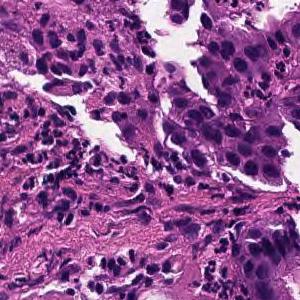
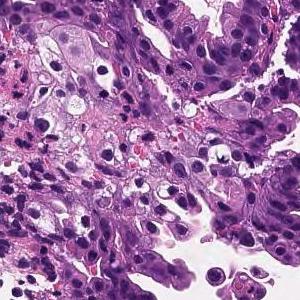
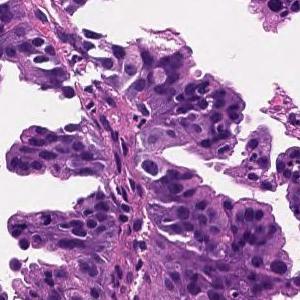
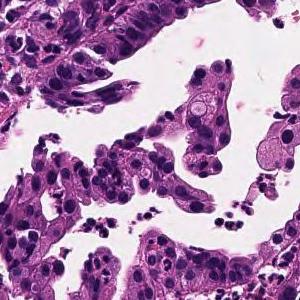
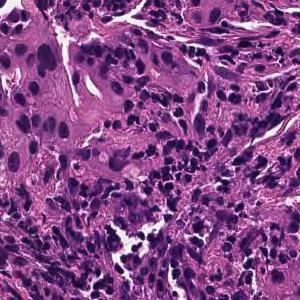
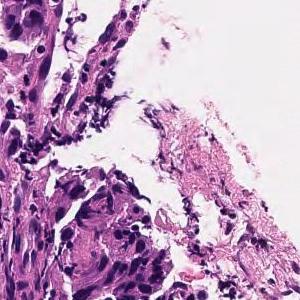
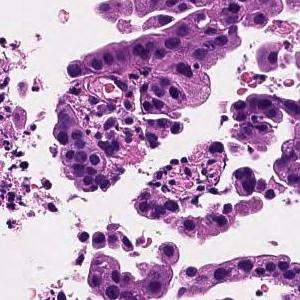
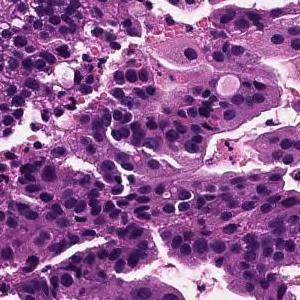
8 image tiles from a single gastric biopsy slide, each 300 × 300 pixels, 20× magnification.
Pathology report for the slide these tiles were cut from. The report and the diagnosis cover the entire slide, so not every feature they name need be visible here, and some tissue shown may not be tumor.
On the superficial epithelium, tumor tissue consisting of large, irregular glandular ducts partially fused and infiltrated is observed. Well to moderately differentiated tubular adenocarcinoma (well differentiated tubular adenocarcinoma, moderately differentiated tubular adenocarcinoma)
Tumor subtype: well to moderately differentiated tubular adenocarcinoma.
